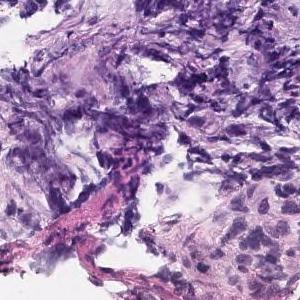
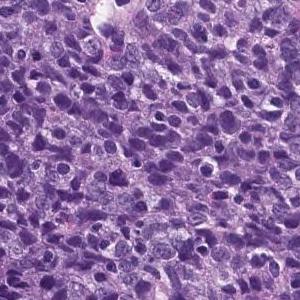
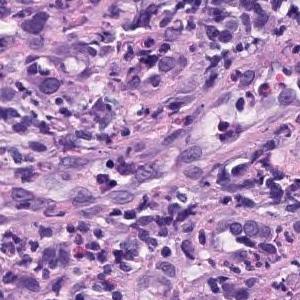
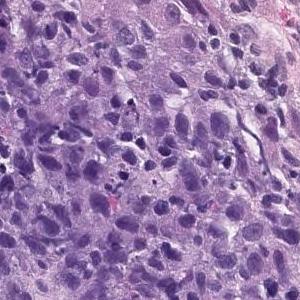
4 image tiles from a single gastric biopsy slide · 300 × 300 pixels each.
The pathologist's report on the biopsy slide these tiles were taken from. The findings and the diagnosis refer to the entire slide; these tiles show only part of it, possibly with non-tumor tissue, and may not show every feature named.
The superficial epithelium shows a large sheet-like shape, and some tumor tissue infiltrates with small irregular ducts. Poorly differentiated adenocarcinoma, solid-type
Tumor subtype: poorly differentiated adenocarcinoma, solid type (Japanese Classification of Gastric Carcinoma). The WHO 2019 equivalent is tubular adenocarcinoma, poorly differentiated.
